20× magnification; 11 image tiles from a single gastric biopsy slide; 300 × 300 pixels each.
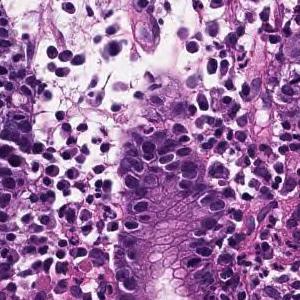
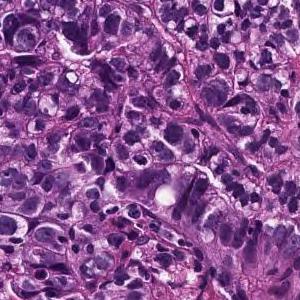
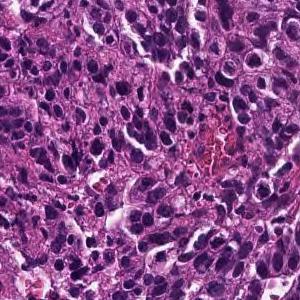
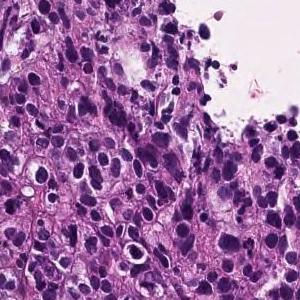
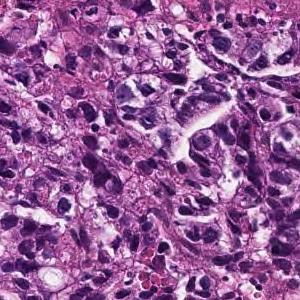
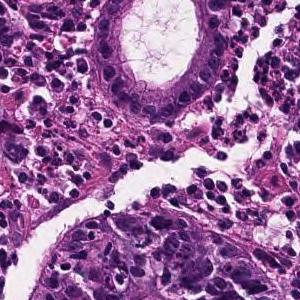
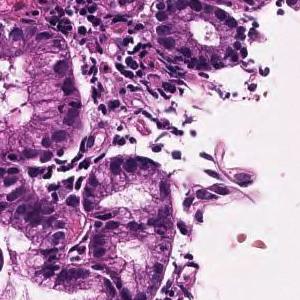
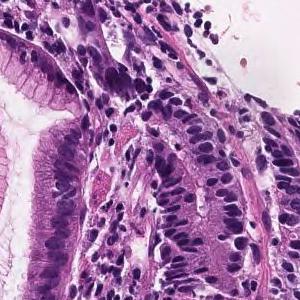
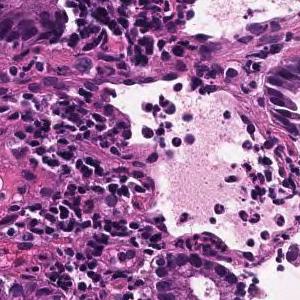
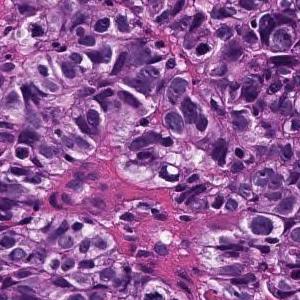
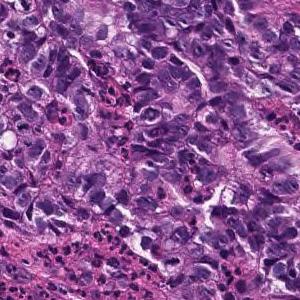
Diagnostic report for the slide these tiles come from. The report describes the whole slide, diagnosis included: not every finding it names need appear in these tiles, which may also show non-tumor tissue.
In the superficial epithelium, tumor tissue that invades by forming medium-sized to small, irregular ducts is observed. moderately differentiated tubular adenocarcinoma.
